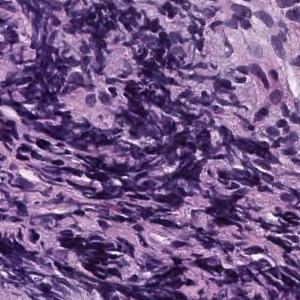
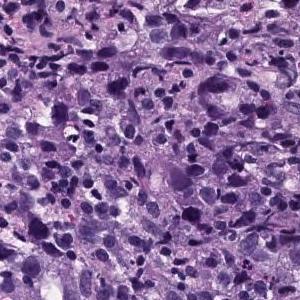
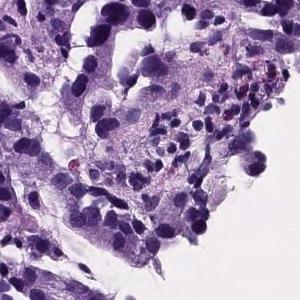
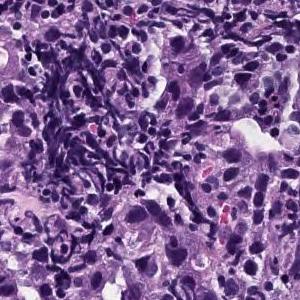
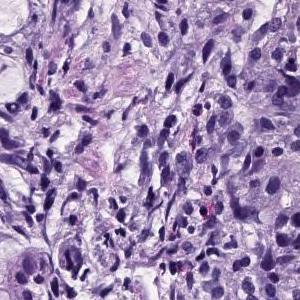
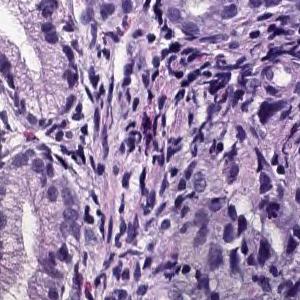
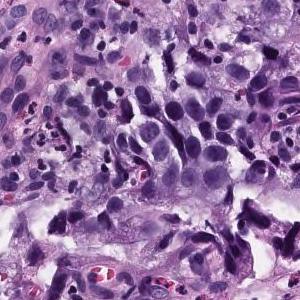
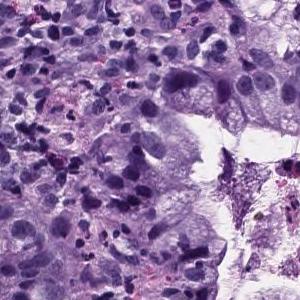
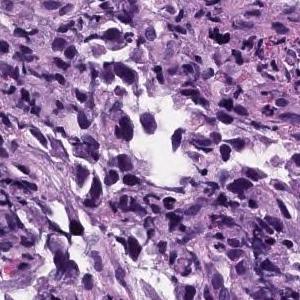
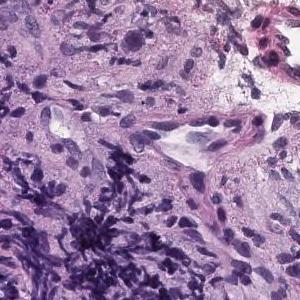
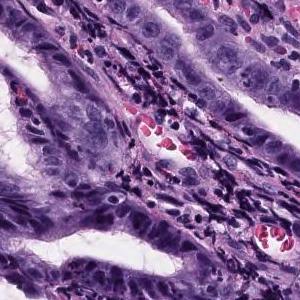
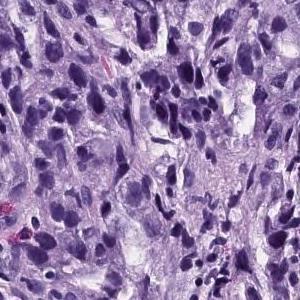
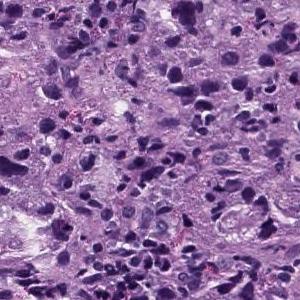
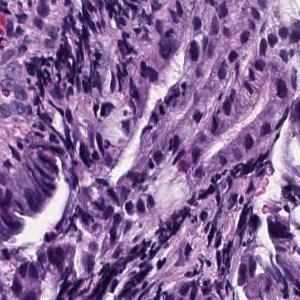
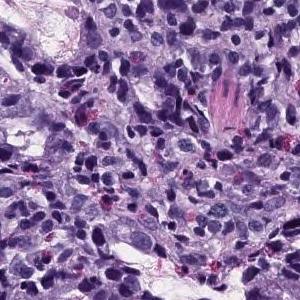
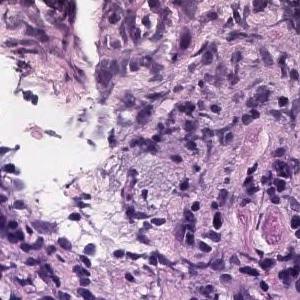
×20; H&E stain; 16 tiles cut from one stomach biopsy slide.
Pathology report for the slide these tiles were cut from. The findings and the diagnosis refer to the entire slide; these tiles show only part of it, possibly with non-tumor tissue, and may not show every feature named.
Atypical epithelial cells infiltrating and proliferating while forming solid or cord-like fused glandular cavities of different sizes is observed. moderately differentiated tubular adenocarcinoma, poorly differentiated adenocarcinoma.
Subtype: Moderately to poorly differentiated adenocarcinoma.
